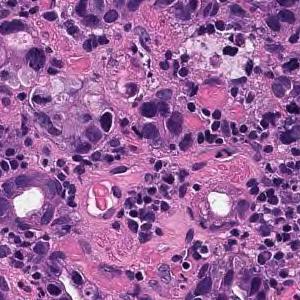
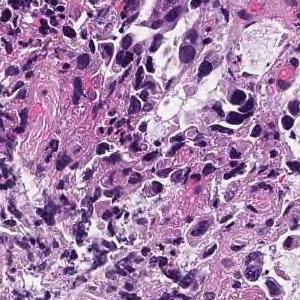
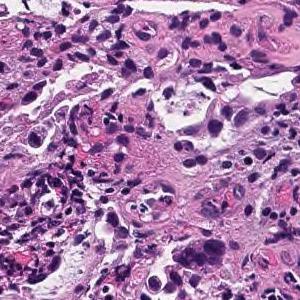
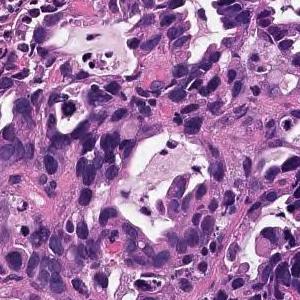
20× magnification; 4 patches cut from one gastric biopsy slide.
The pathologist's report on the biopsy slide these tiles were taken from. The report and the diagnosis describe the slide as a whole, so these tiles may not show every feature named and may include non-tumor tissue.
In the superficial epithelium, tumor tissue that invades by forming medium-sized to small, irregular ducts is observed. moderately differentiated tubular adenocarcinoma.
